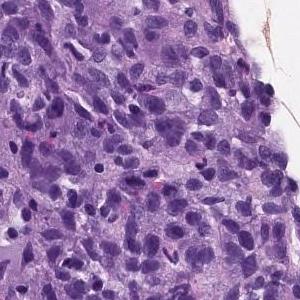
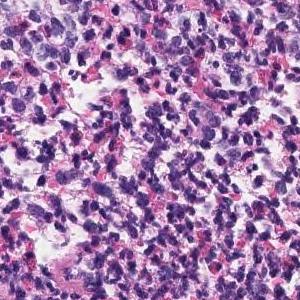
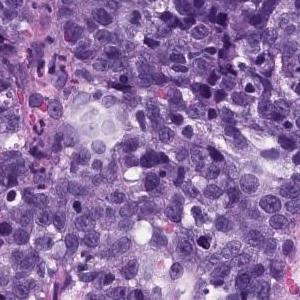
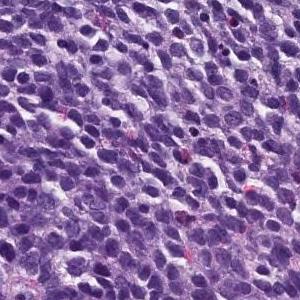
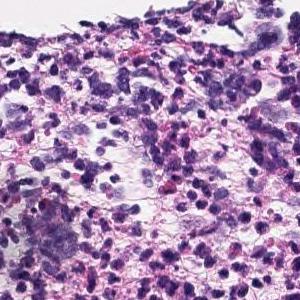
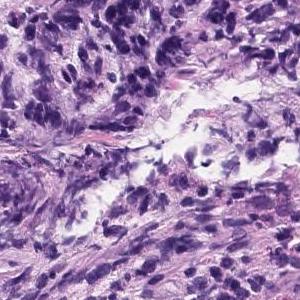
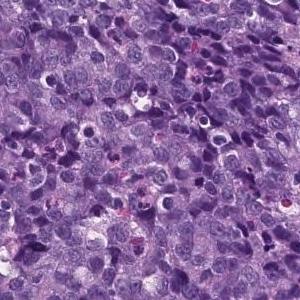
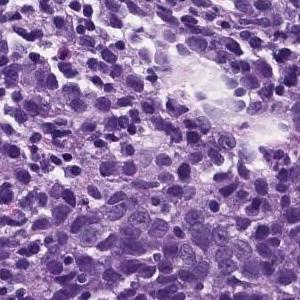
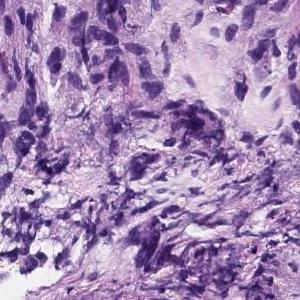
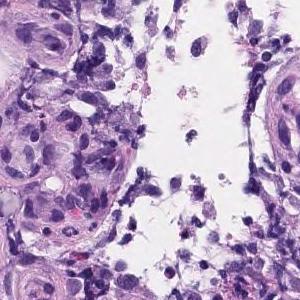
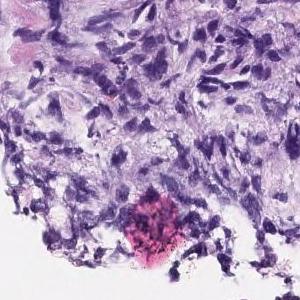
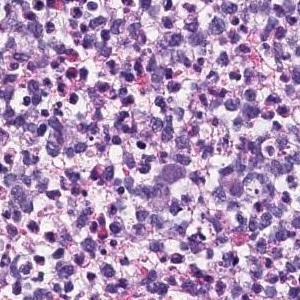
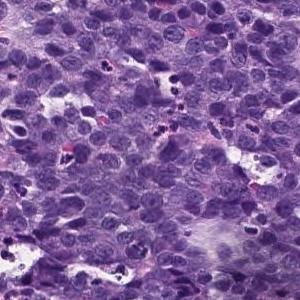
H&E stain · 13 tiles from the same stomach biopsy slide · 300×300 px each.
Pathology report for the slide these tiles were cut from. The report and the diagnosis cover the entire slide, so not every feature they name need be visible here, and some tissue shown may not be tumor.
The superficial epithelium shows a large sheet-like shape, and some tumor tissue infiltrates with small irregular ducts. Poorly differentiated adenocarcinoma, solid-type
Classified as poorly differentiated adenocarcinoma, solid type, a category of the Japanese Classification of Gastric Carcinoma; in the WHO 2019 classification it is tubular adenocarcinoma, poorly differentiated.
